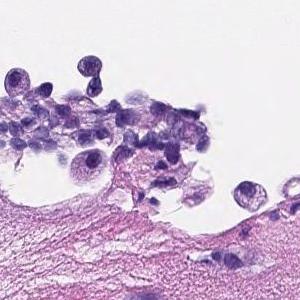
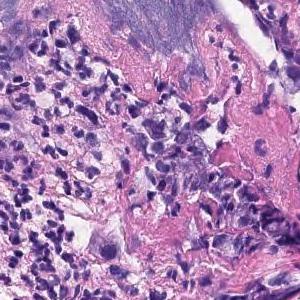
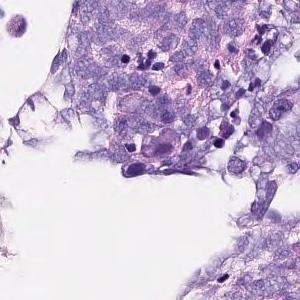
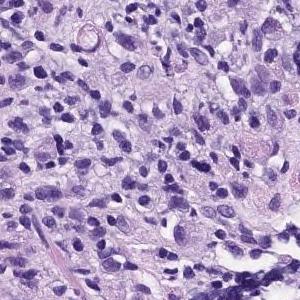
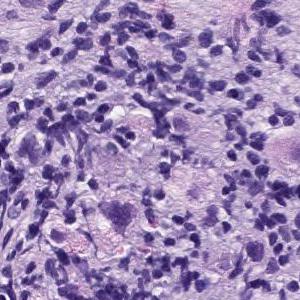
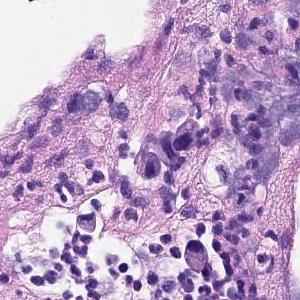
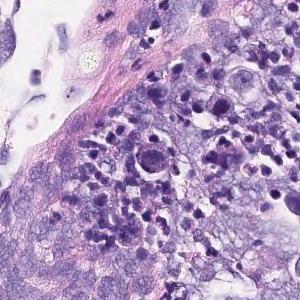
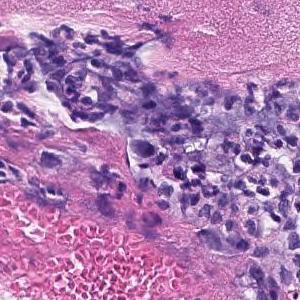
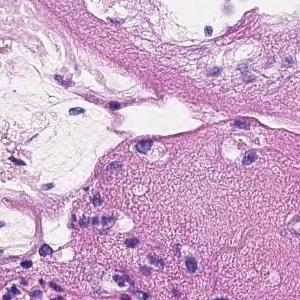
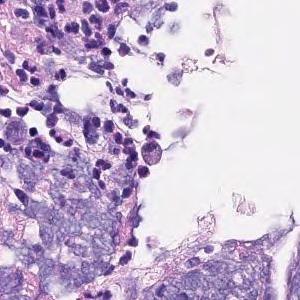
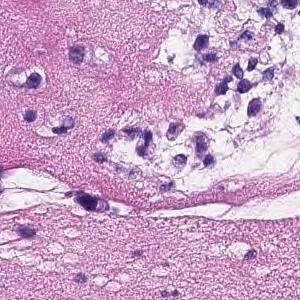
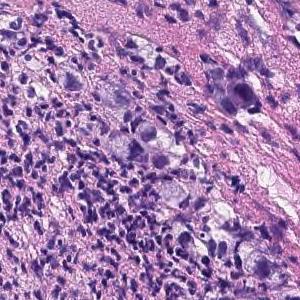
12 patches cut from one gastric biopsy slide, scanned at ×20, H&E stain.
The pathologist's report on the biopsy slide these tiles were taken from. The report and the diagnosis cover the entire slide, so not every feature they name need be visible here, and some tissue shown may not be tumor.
A large atypical epithelium lacking ductal construction with swelling of the nucleus is seen to proliferate solidly. Poorly differentiated adenocarcinoma.
Histological subtype: Poorly differentiated adenocarcinoma, non-solid type.
The term "non-solid type" comes from the Japanese Classification of Gastric Carcinoma.
